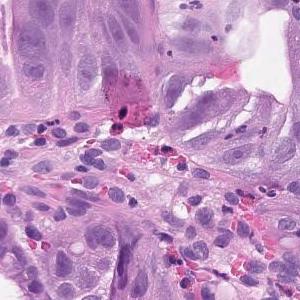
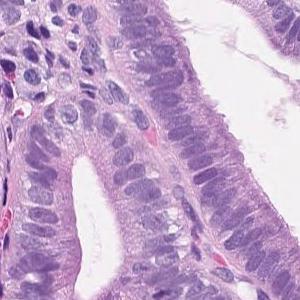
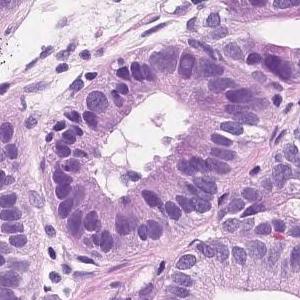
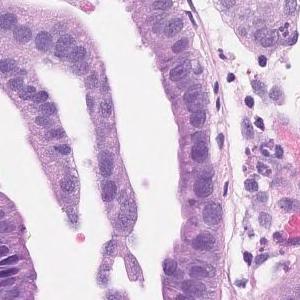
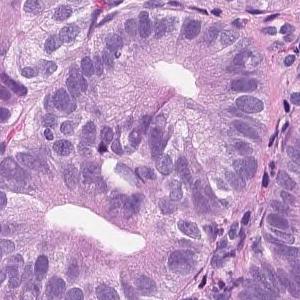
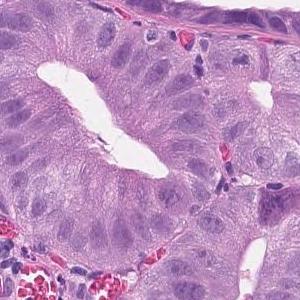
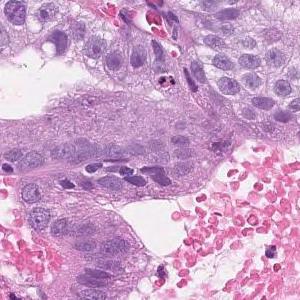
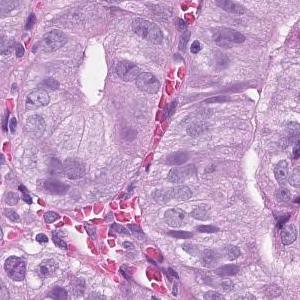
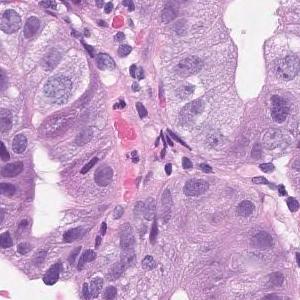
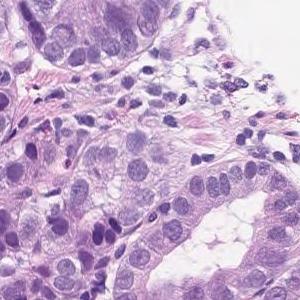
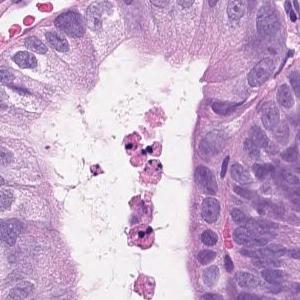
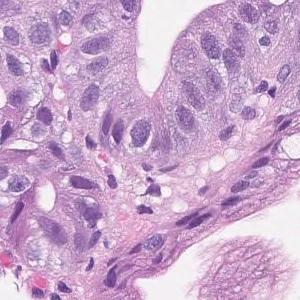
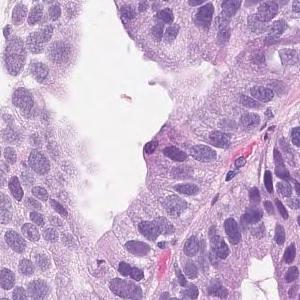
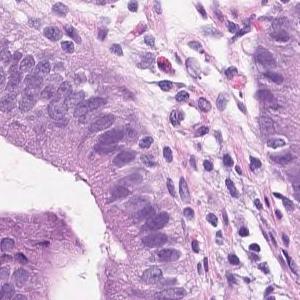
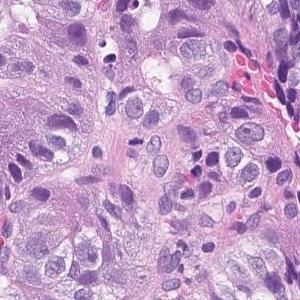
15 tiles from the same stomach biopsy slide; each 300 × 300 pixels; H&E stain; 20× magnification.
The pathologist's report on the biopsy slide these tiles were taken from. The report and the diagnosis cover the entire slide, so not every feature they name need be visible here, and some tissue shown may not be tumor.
Tumor tissue consisting of medium-sized and irregular ducts is observed infiltrating in the superficial epithelium. Tumor cells are highly columnar, with nuclei aligned basolaterally and polarized. Well differentiated tubular adenocarcinoma.
